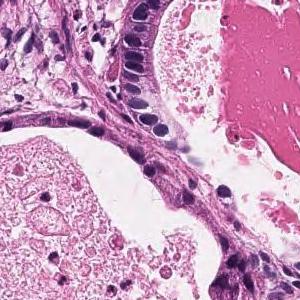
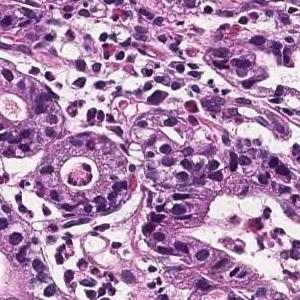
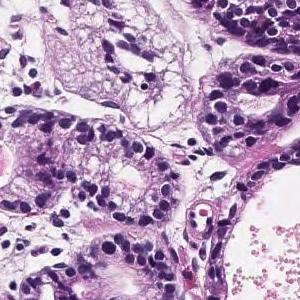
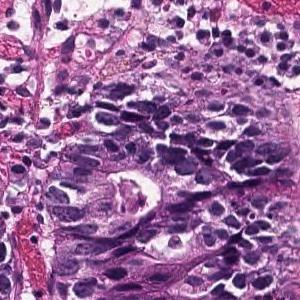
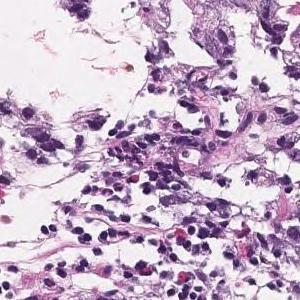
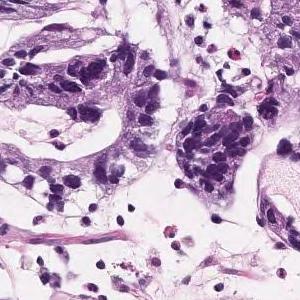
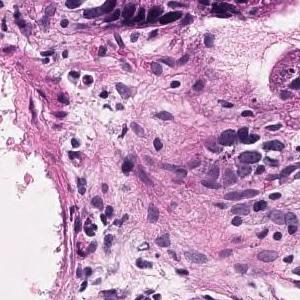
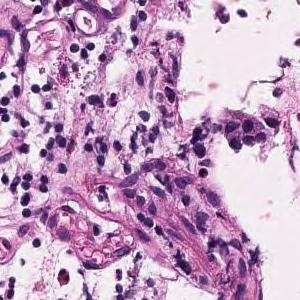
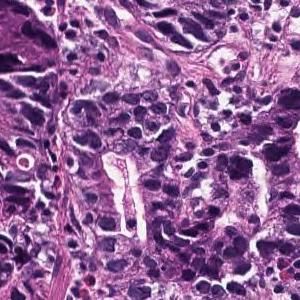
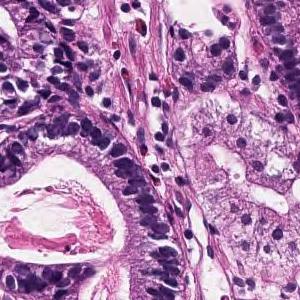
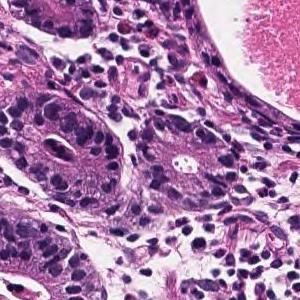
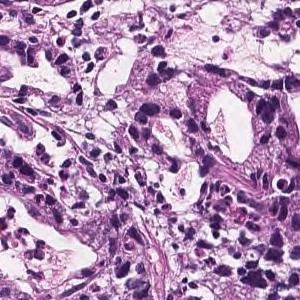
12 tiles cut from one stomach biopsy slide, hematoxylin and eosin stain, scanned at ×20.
Pathology report for the biopsy slide these tiles were cut from. The findings and the diagnosis refer to the entire slide; these tiles show only part of it, possibly with non-tumor tissue, and may not show every feature named.
Tumor tissue consisting of medium-sized and irregular ducts is observed infiltrating in the superficial epithelium. Tumor cells are highly columnar, with nuclei aligned basolaterally and polarized. Well differentiated tubular adenocarcinoma.
